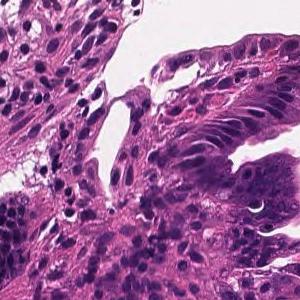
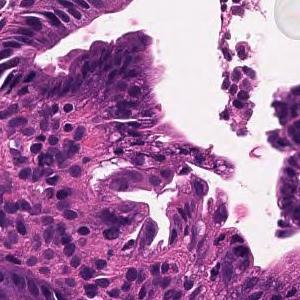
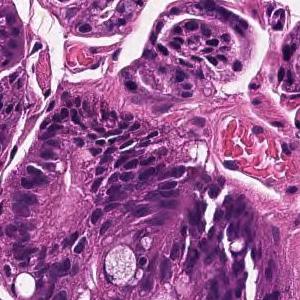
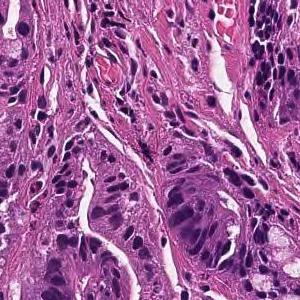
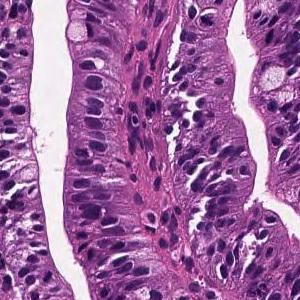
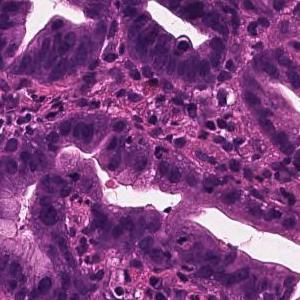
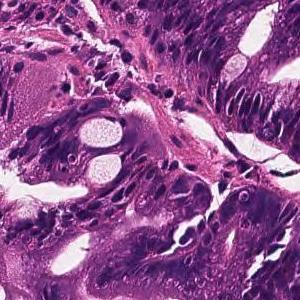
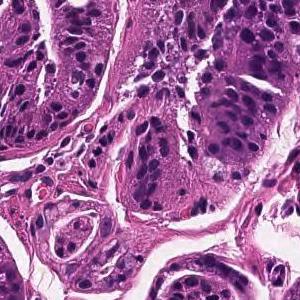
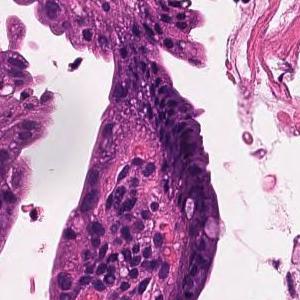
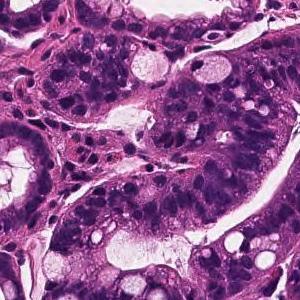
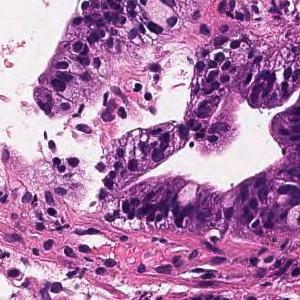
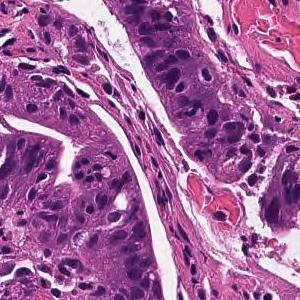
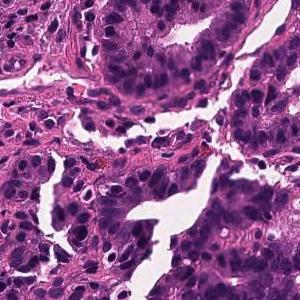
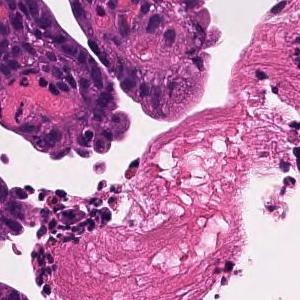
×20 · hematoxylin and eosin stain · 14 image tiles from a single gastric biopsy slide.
Report on the slide these tiles come from. The report and the diagnosis cover the entire slide, so not every feature they name need be visible here, and some tissue shown may not be tumor.
On the superficial epithelium, tumor tissue that infiltrates by forming medium-sized papillary or small irregular ducts is observed. Papillary adenocarcinoma
